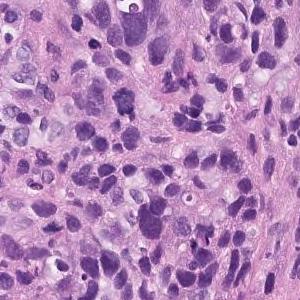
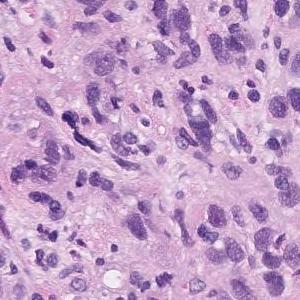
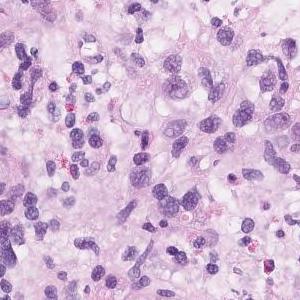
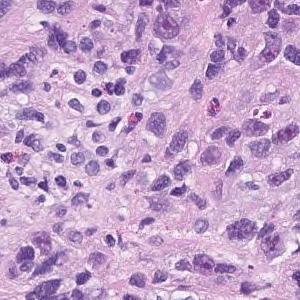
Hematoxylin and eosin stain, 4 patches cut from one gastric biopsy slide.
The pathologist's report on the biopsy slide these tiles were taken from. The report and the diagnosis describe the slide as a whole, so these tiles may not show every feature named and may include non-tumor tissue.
Atypical l cells with atypical nuclei under the mucosa growing in isolation and scattered. Poorly differentiated adenocarcinoma (poorly differentiated adenocarcinoma, non-solid type)
Subtype: Poorly differentiated adenocarcinoma, non-solid type.
The term "non-solid type" comes from the Japanese Classification of Gastric Carcinoma.
